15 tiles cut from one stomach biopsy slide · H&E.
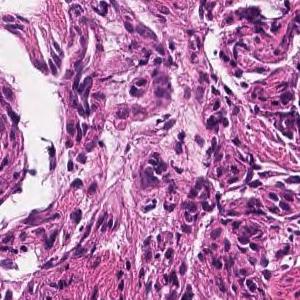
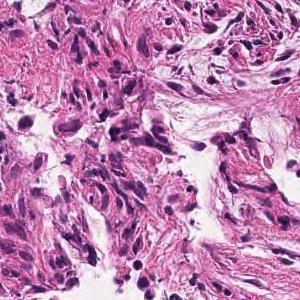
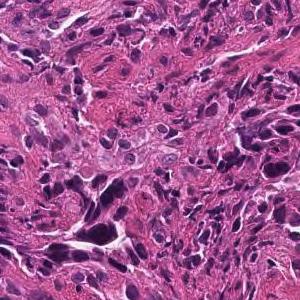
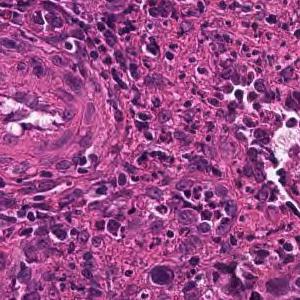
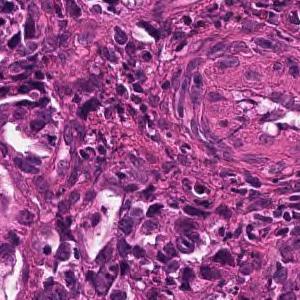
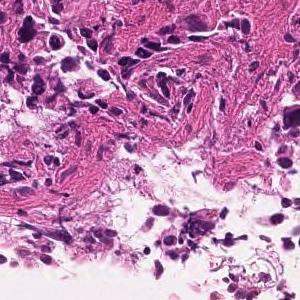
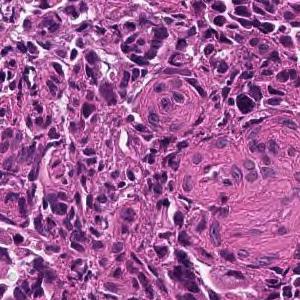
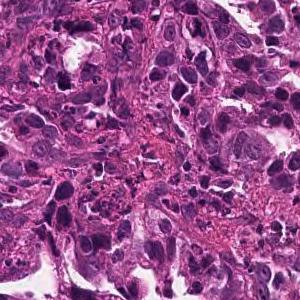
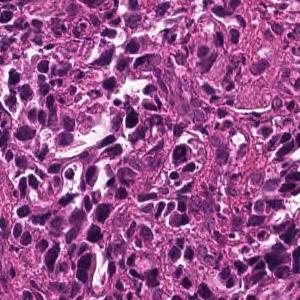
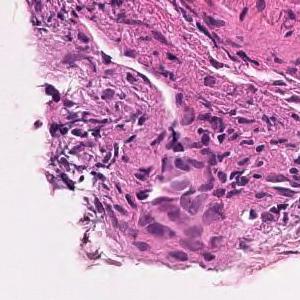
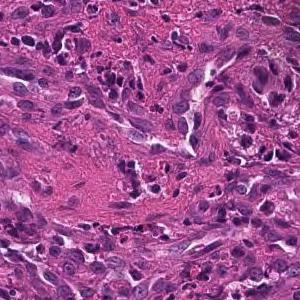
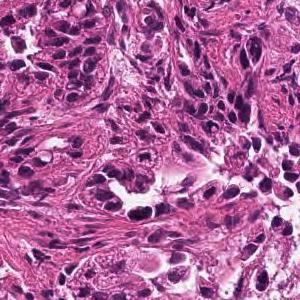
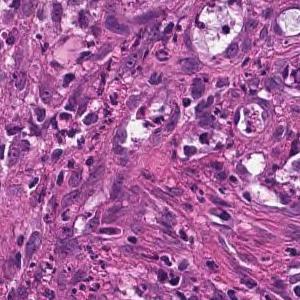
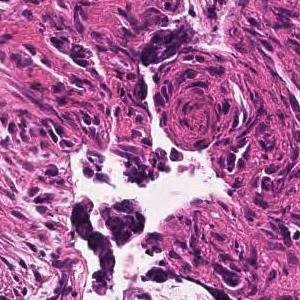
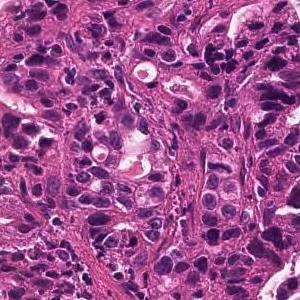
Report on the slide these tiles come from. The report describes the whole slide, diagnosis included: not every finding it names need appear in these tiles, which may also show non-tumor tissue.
In the superficial epithelium, tumor tissue that invades by forming medium-sized to small, irregular ducts is observed. moderately differentiated tubular adenocarcinoma.
